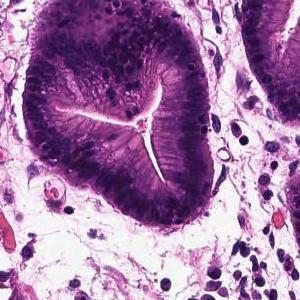
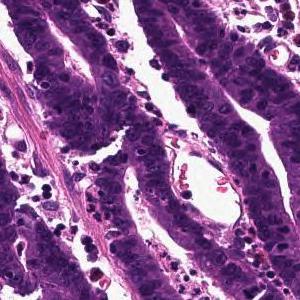
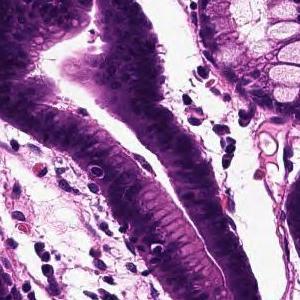
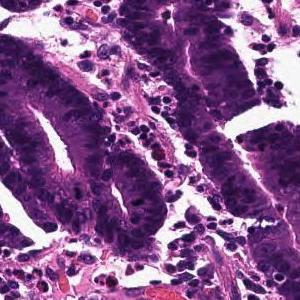
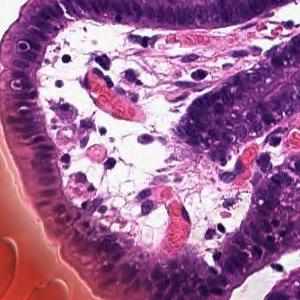
5 image tiles from a single gastric biopsy slide; 300 × 300 pixels each; hematoxylin and eosin stain; 20× magnification.
Report on the slide these tiles come from. What the report and the diagnosis say applies to the whole slide; these tiles may miss some of the features named and may include tissue that is not tumor.
Tumor tissue that infiltrates by forming large papillary or large irregular glandular ducts is observed confined to the mucosa. Papillary adenocarcinoma
